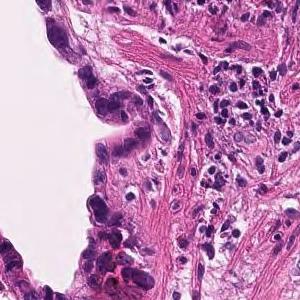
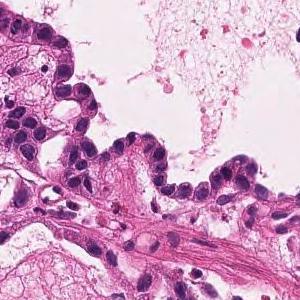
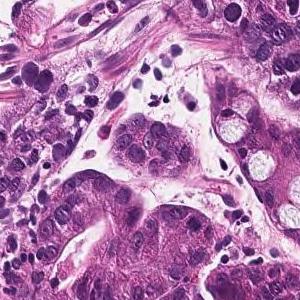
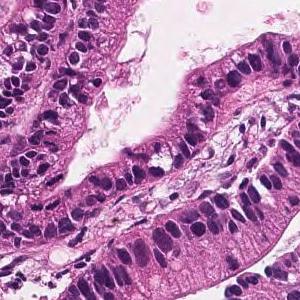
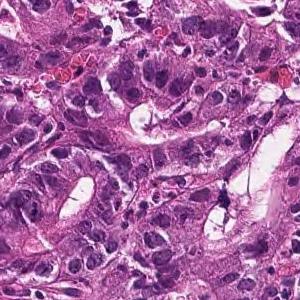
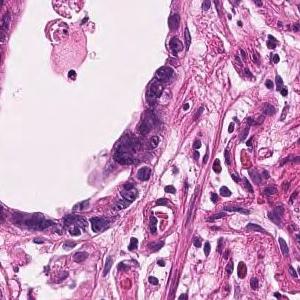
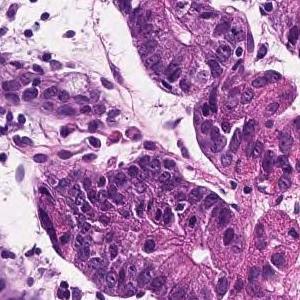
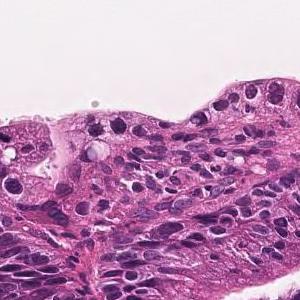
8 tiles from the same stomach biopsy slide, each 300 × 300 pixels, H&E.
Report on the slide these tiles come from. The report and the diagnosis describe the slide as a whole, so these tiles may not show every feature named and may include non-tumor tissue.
In the superficial epithelium, tumor tissue that invades by forming medium-sized to small, irregular ducts is observed. moderately differentiated tubular adenocarcinoma.
